9 tiles cut from one stomach biopsy slide; H&E stain.
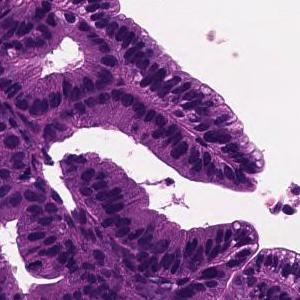
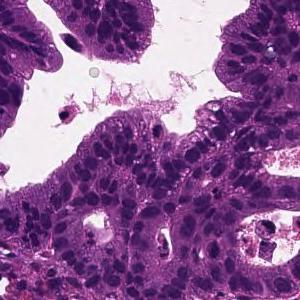
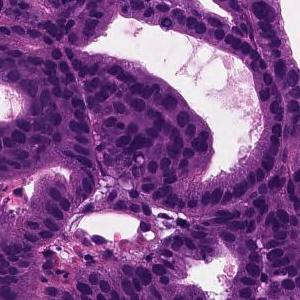
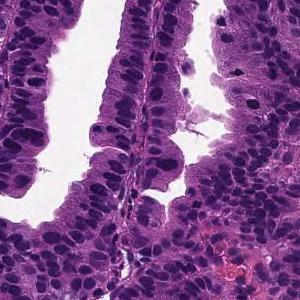
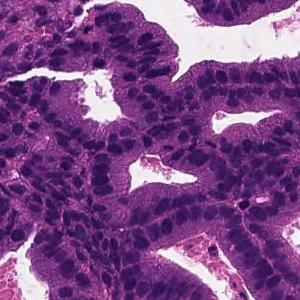
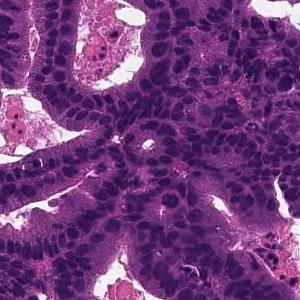
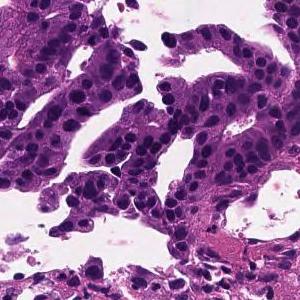
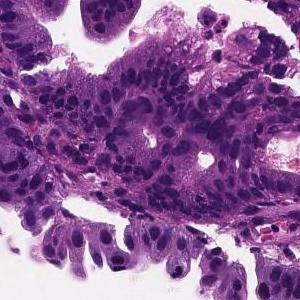
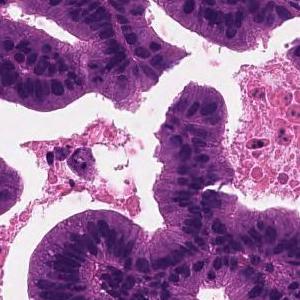
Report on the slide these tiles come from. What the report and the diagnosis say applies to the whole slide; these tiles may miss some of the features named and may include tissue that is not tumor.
Tumor cells are large, highly columnar, large club-shaped nuclei, and are associated with chromatin aggregation. Papillary adenocarcinoma.
